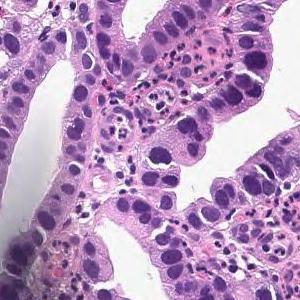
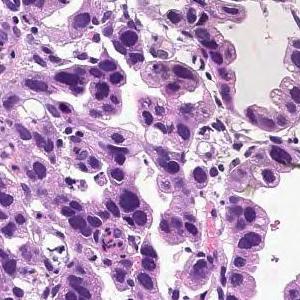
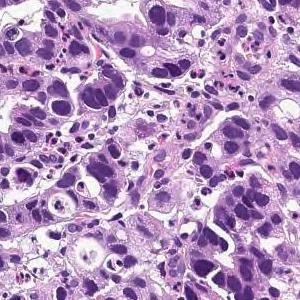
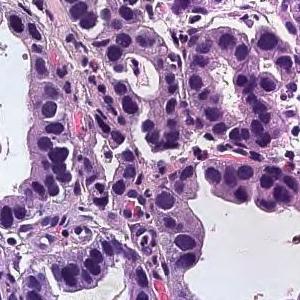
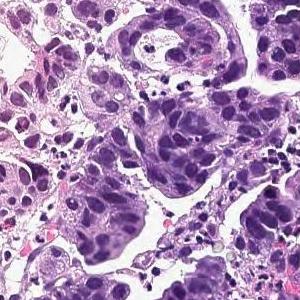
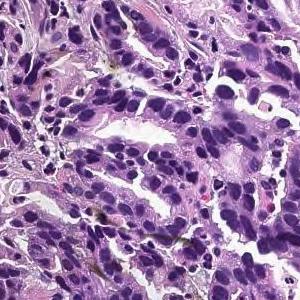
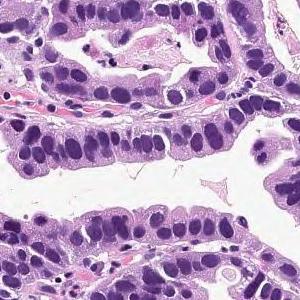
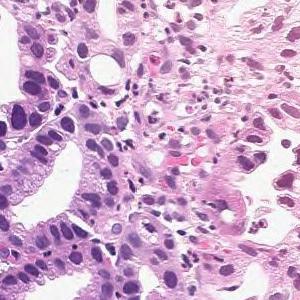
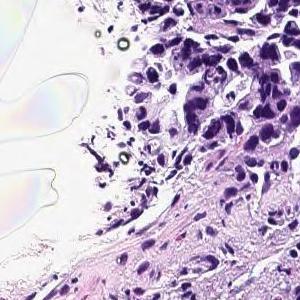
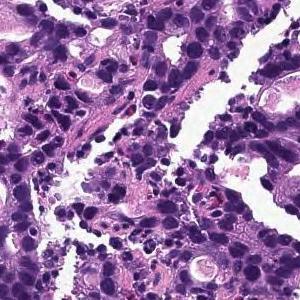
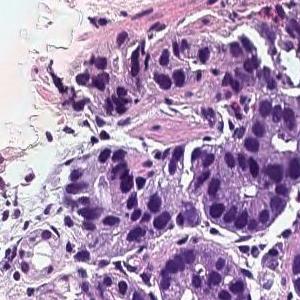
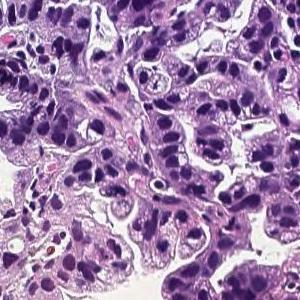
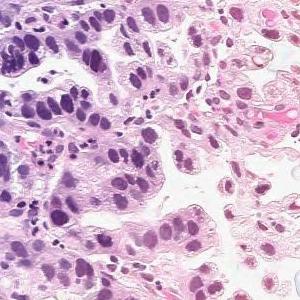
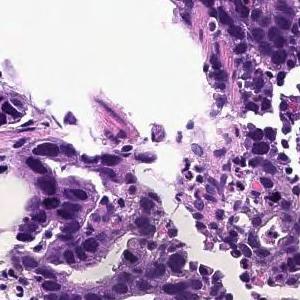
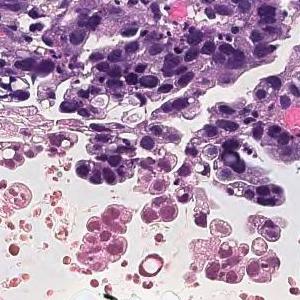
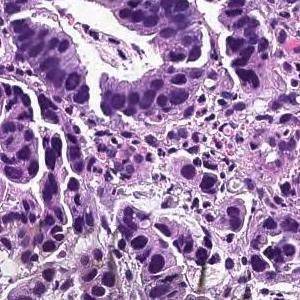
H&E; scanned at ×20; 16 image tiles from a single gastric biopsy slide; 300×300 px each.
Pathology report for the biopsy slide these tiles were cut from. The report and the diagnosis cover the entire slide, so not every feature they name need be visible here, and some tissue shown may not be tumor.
On the superficial epithelium, tumor tissue consisting of large irregular glandular ducts partially fused and infiltrated is observed. Well to moderately differentiated tubular adenocarcinoma (well differentiated tubular adenocarcinoma, moderately differentiated tubular adenocarcinoma)
Tumor subtype: well to moderately differentiated tubular adenocarcinoma.
